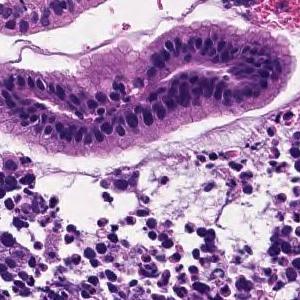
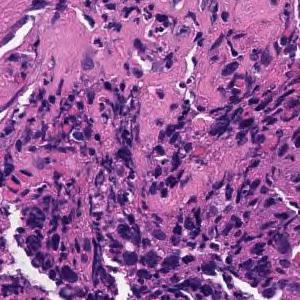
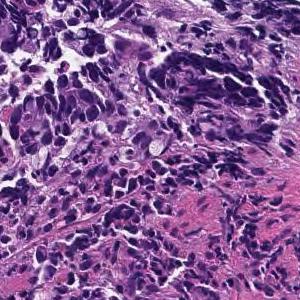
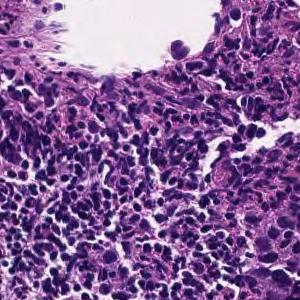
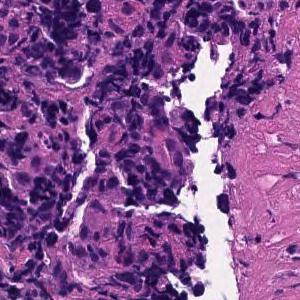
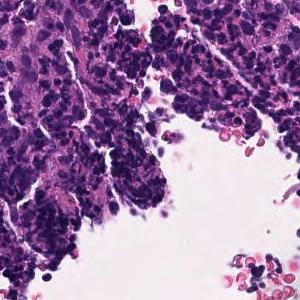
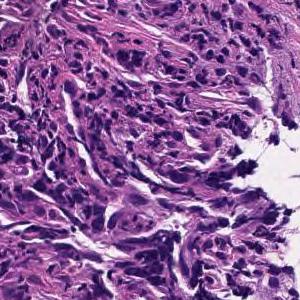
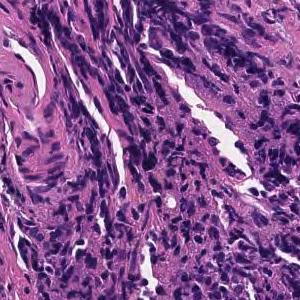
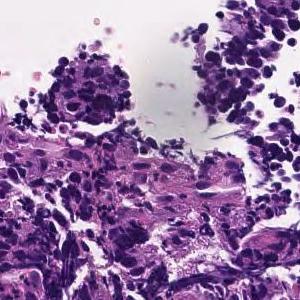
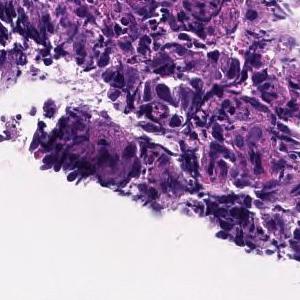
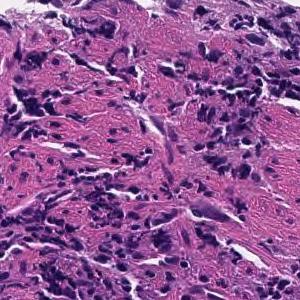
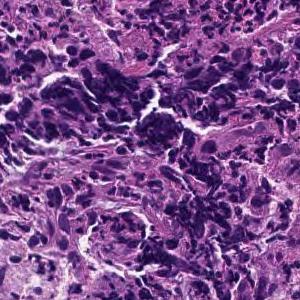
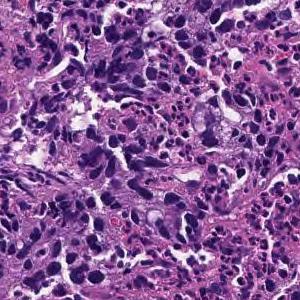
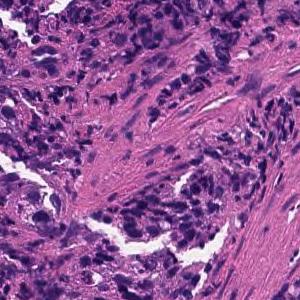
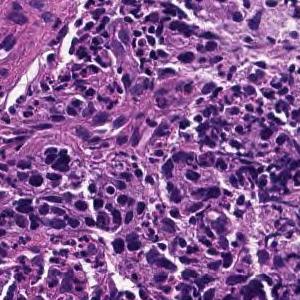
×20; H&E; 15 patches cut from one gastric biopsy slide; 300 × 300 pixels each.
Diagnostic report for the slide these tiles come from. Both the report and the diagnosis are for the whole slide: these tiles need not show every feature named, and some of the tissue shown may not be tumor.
Tumor tissue consisting of cord-like or small, irregular glandular ducts fused and infiltrated is observed in the superficial epithelium. Poorly differentiated adenocarcinoma, non-solid type
The term "non-solid type" comes from the Japanese Classification of Gastric Carcinoma.
